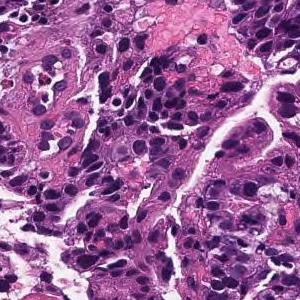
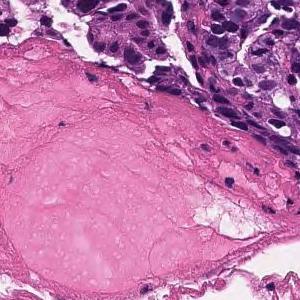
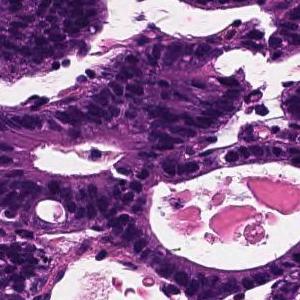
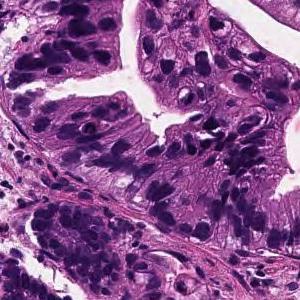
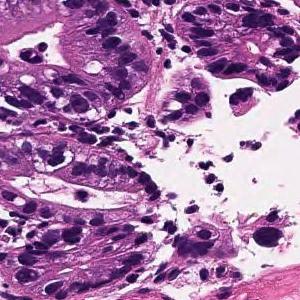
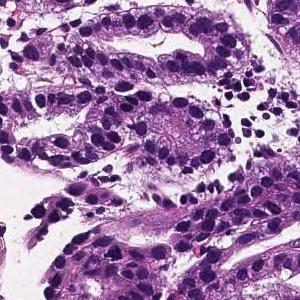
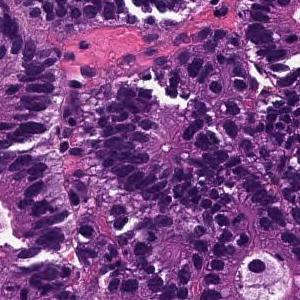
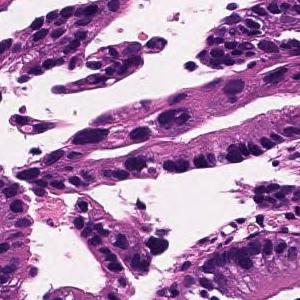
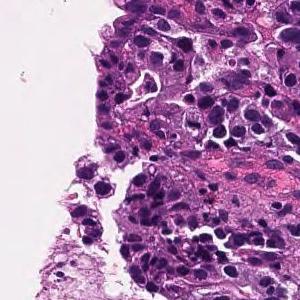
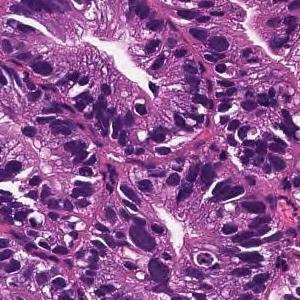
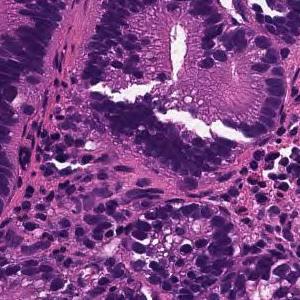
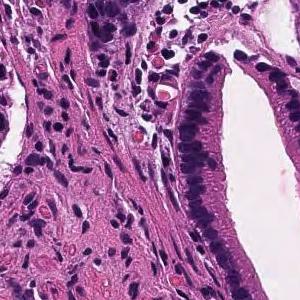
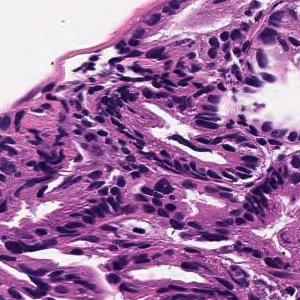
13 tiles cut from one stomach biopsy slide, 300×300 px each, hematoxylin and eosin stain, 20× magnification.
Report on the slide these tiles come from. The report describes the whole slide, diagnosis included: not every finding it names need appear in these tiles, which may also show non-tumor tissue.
From the superficial epithelium to the muscularis mucosae, tumor tissue consisting of medium-sized and irregular glandular ducts infiltrating is observed. Well differentiated tubular adenocarcinoma
